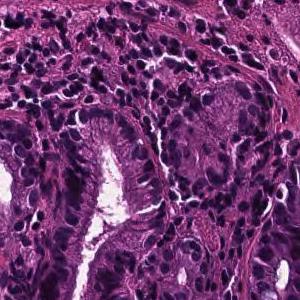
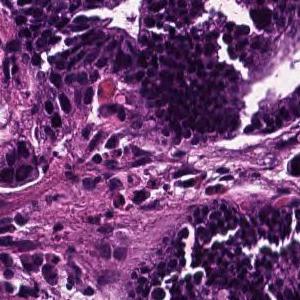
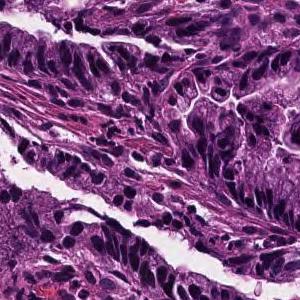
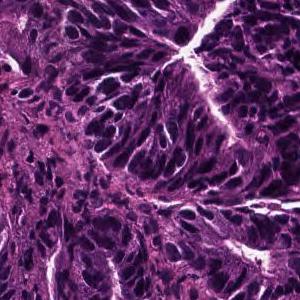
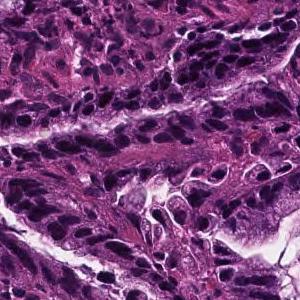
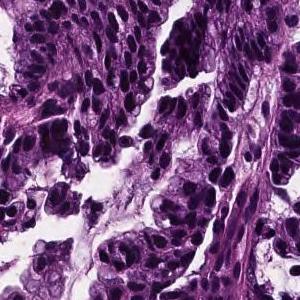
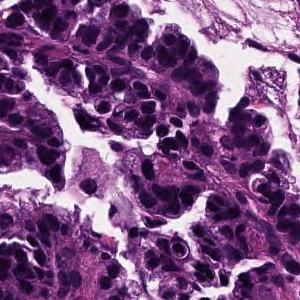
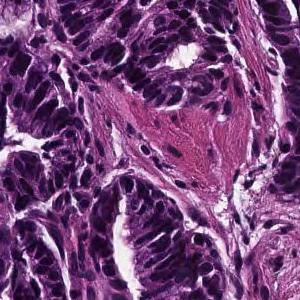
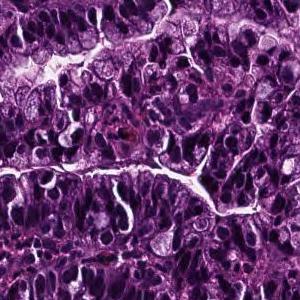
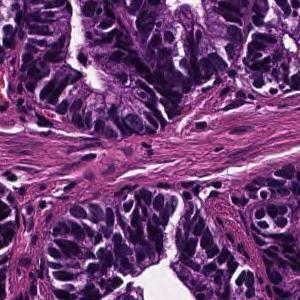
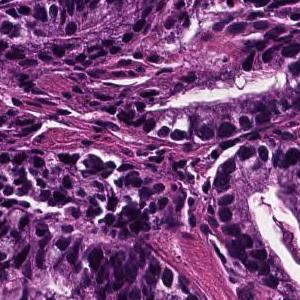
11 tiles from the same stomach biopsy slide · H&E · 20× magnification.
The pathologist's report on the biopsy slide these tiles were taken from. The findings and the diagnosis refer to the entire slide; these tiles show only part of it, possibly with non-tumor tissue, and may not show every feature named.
In the superficial epithelium, tumor tissue that invades by forming medium-sized to small, irregular ducts is observed. Well differentiated tubular adenocarcinoma.
